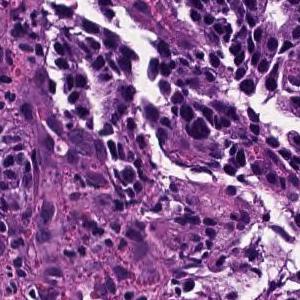
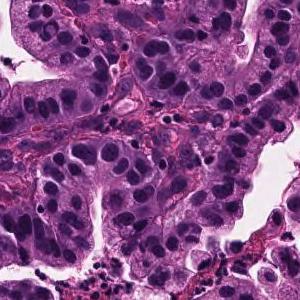
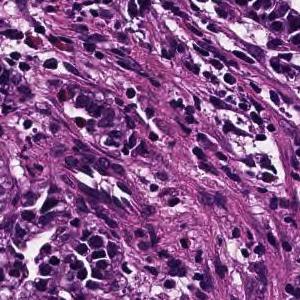
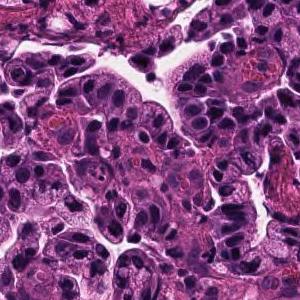
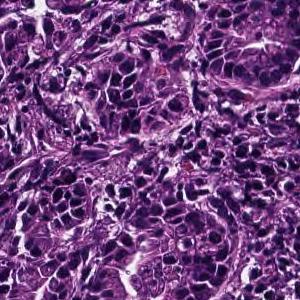
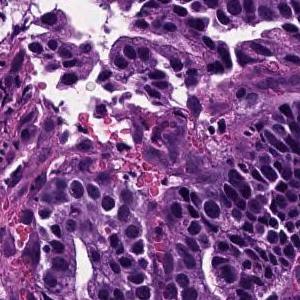
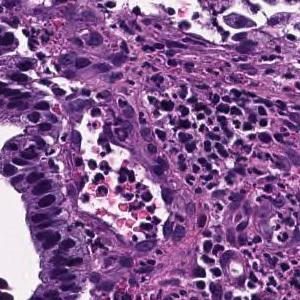
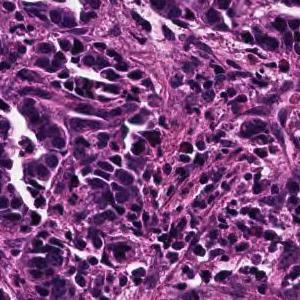
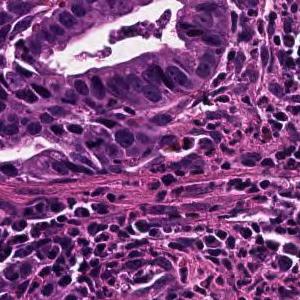
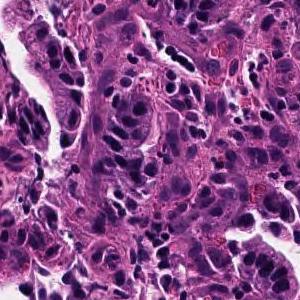
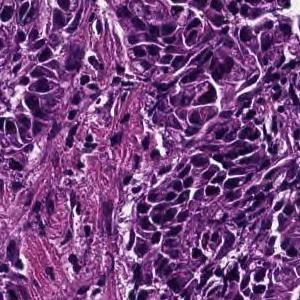
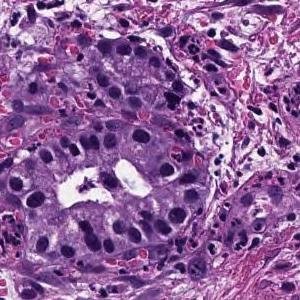
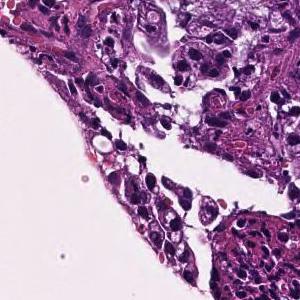
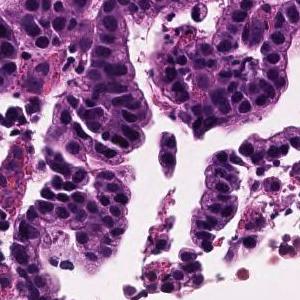
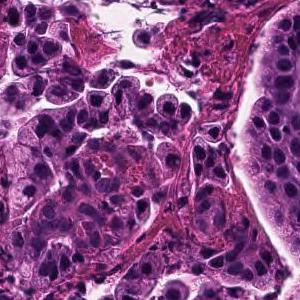
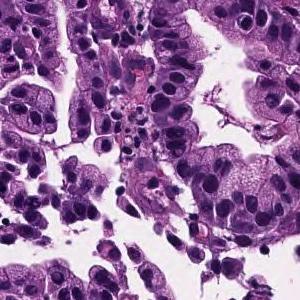
16 tiles from the same stomach biopsy slide · 20× magnification · hematoxylin and eosin stain.
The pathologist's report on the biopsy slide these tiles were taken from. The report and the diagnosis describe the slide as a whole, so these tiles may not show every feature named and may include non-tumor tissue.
Tumor cells are large, highly columnar, large club-shaped nuclei, and are associated with chromatin aggregation. Papillary adenocarcinoma.
